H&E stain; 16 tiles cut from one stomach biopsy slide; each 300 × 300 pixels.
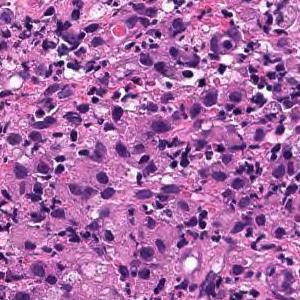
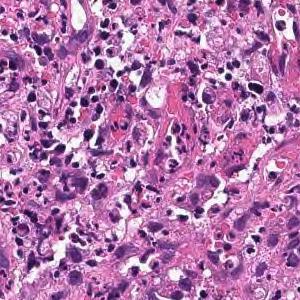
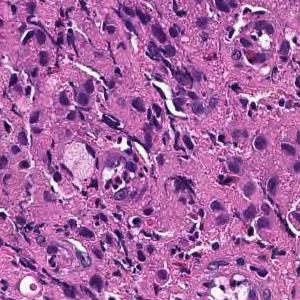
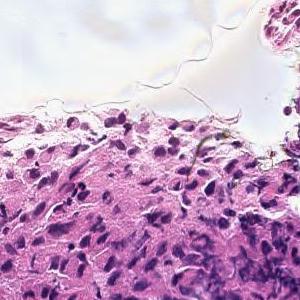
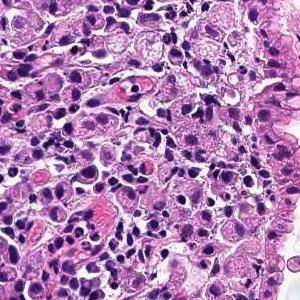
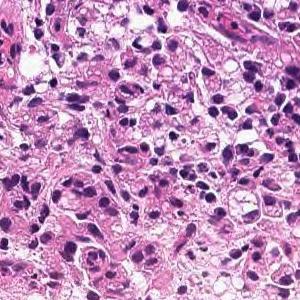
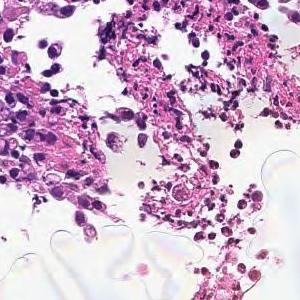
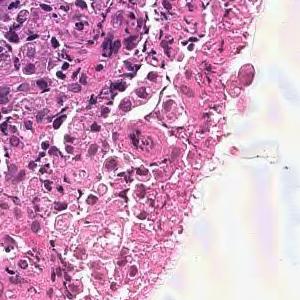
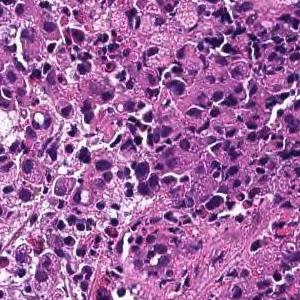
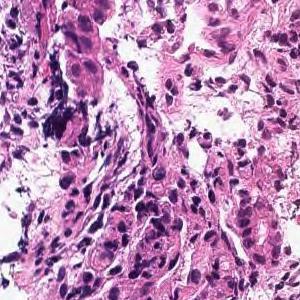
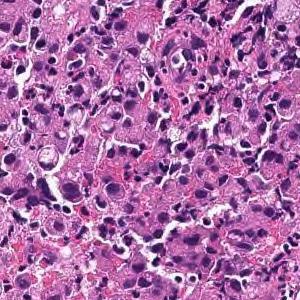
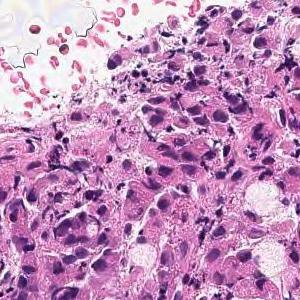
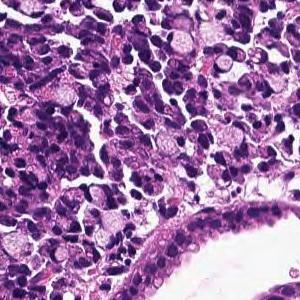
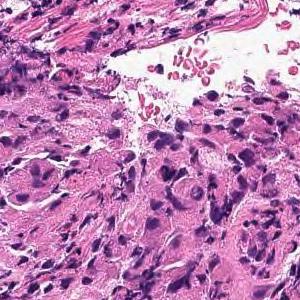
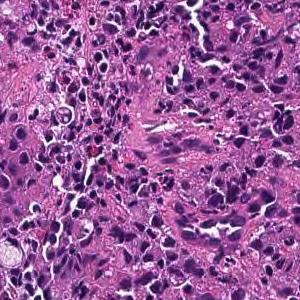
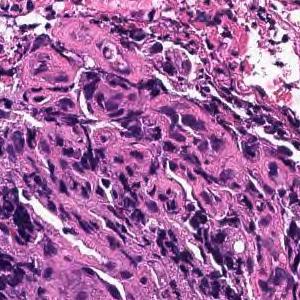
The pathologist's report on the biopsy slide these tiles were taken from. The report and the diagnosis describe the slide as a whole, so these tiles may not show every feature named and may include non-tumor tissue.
Tumor tissue consisting of diffusely infiltrated large atypical epithelial cells or signet ring atypical cells is observed in the superficial epithelium. Poorly differentiated adenocarcinoma, solid-type
Classified as poorly differentiated adenocarcinoma, solid type. This name comes from the Japanese Classification of Gastric Carcinoma; the WHO 2019 classification calls it tubular adenocarcinoma, poorly differentiated.
